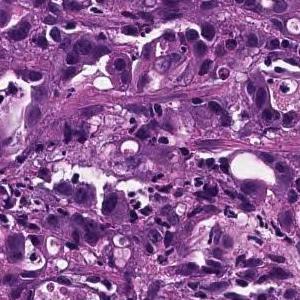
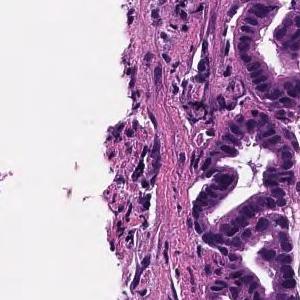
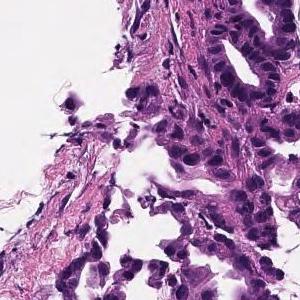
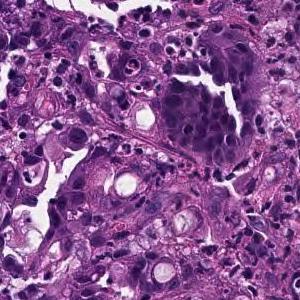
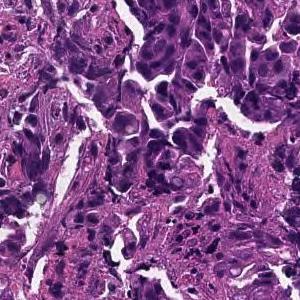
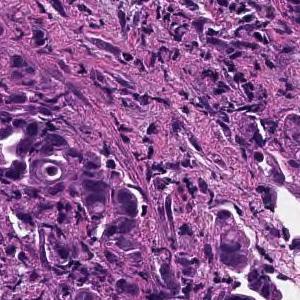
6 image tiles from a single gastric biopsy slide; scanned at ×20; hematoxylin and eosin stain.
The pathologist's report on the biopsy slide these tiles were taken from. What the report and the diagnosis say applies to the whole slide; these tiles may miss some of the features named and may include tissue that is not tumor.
Tumor tissue consisting of medium-sized, cord-like or irregular glandular infiltration is observed in the superficial epithelium. Poorly differentiated adenocarcinoma, non-solid type or moderately differentiated tubular adenocarcinoma
Classified as moderately to poorly differentiated adenocarcinoma.
The non-solid type named here is a Japanese Classification of Gastric Carcinoma category.
